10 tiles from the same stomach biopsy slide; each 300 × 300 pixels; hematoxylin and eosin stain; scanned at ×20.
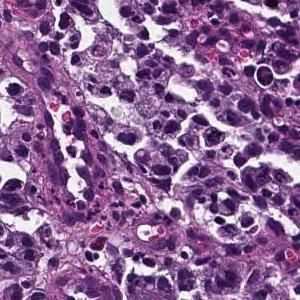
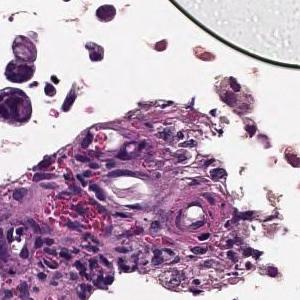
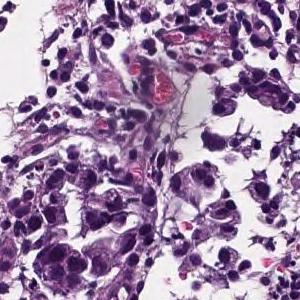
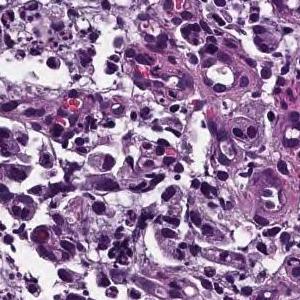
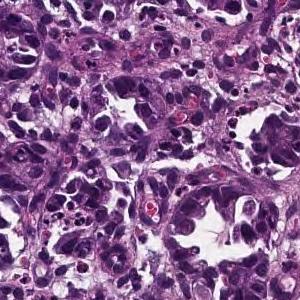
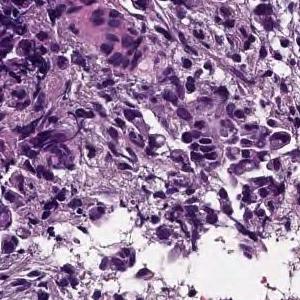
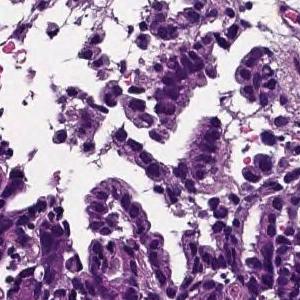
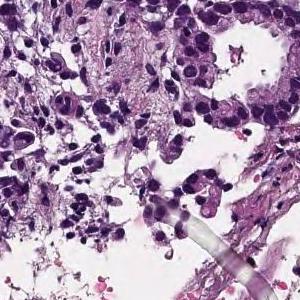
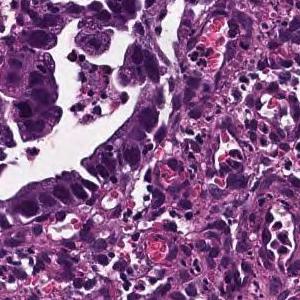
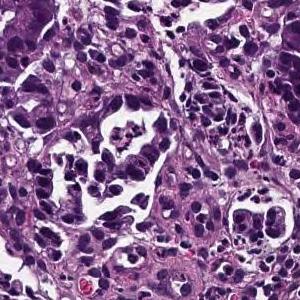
Diagnostic report for the slide these tiles come from. What the report and the diagnosis say applies to the whole slide; these tiles may miss some of the features named and may include tissue that is not tumor.
Medium to small, irregular glandular ducts are formed in the superficial epithelium, and in some cases, the glandular ducts are fused to show solid alveolar lesions and infiltrating tumor tissue is observed. Moderately to poorly differentiated adenocarcinoma.
